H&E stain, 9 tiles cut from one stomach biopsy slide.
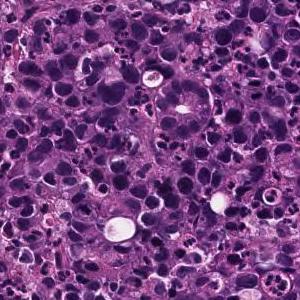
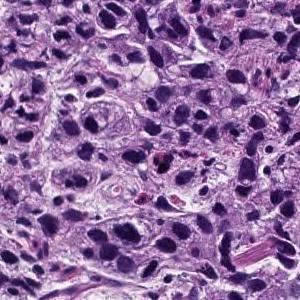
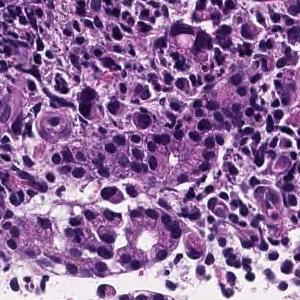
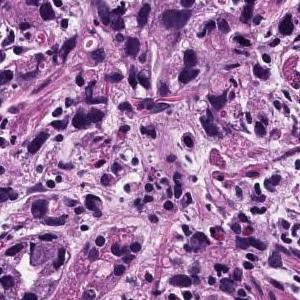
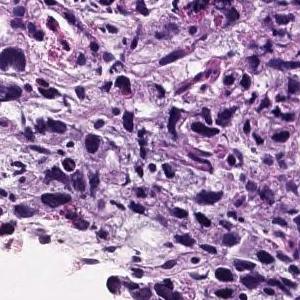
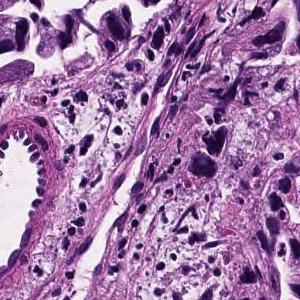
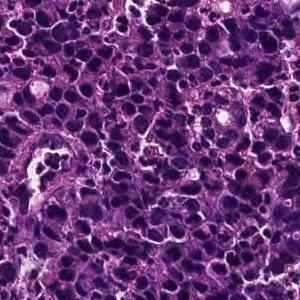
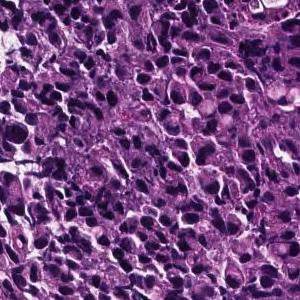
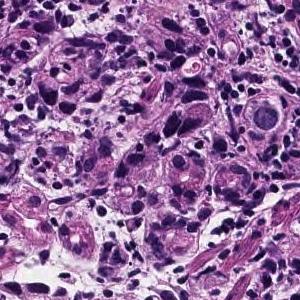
Report on the slide these tiles come from. The report describes the whole slide, diagnosis included: not every finding it names need appear in these tiles, which may also show non-tumor tissue.
The superficial epithelium shows a large sheet-like shape, and some tumor tissue infiltrates with small irregular ducts. Poorly differentiated adenocarcinoma, solid-type
Classified as poorly differentiated adenocarcinoma, solid type. This name comes from the Japanese Classification of Gastric Carcinoma; the WHO 2019 classification calls it tubular adenocarcinoma, poorly differentiated.
